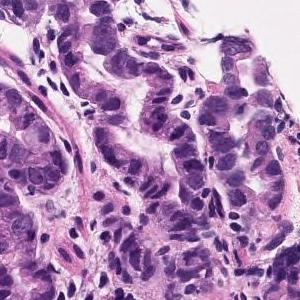
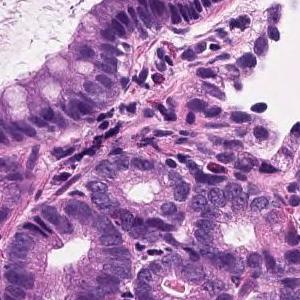
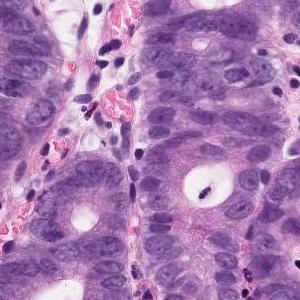
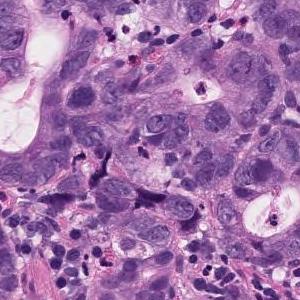
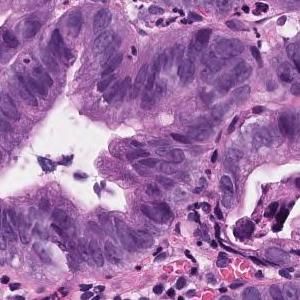
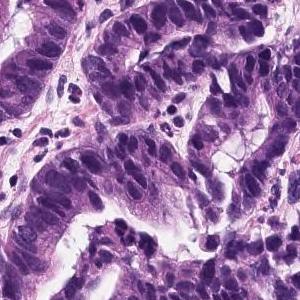
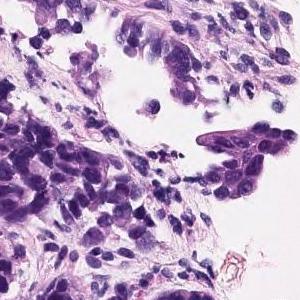
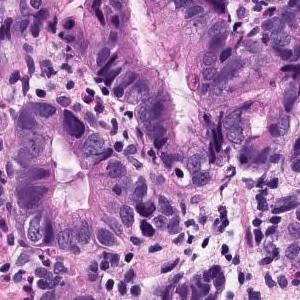
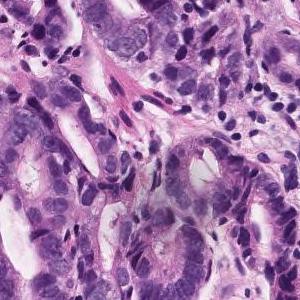
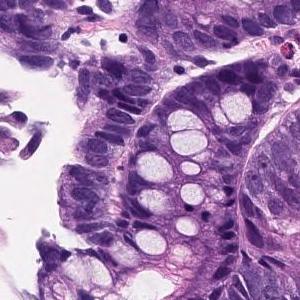
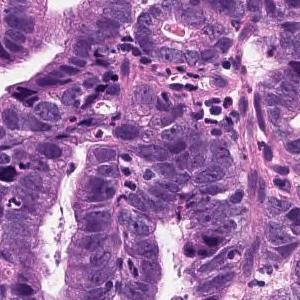
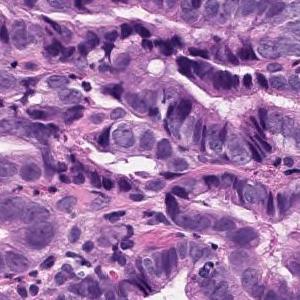
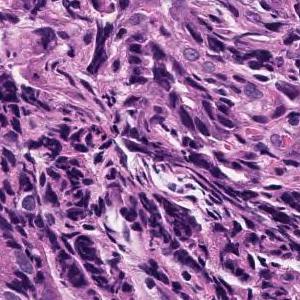
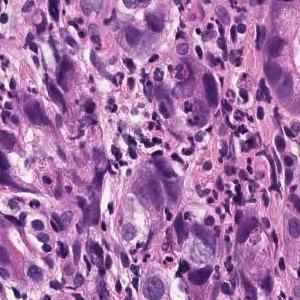
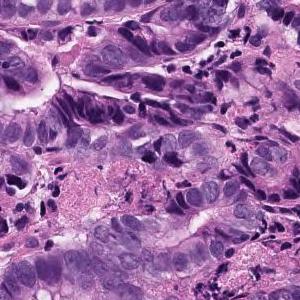
H&E · ×20 · 15 tiles cut from one stomach biopsy slide · 300×300 px each.
Pathology report for the biopsy slide these tiles were cut from. Both the report and the diagnosis are for the whole slide: these tiles need not show every feature named, and some of the tissue shown may not be tumor.
The swollen atypical epithelium of the nucleus forms an irregular ductal structure and proliferates. moderately differentiated tubular adenocarcinoma
